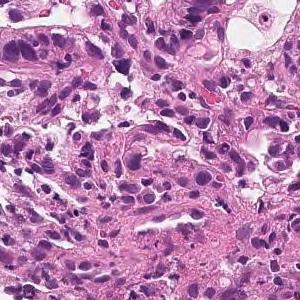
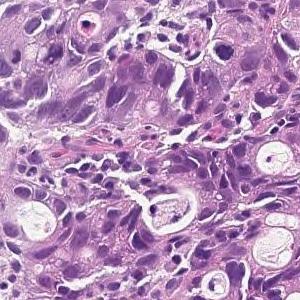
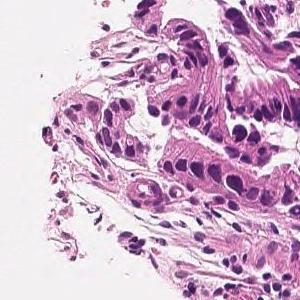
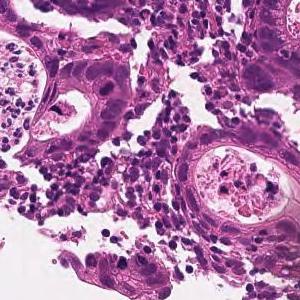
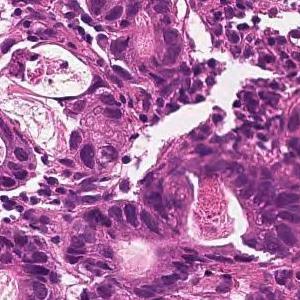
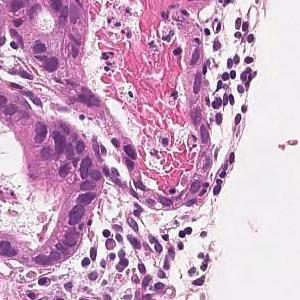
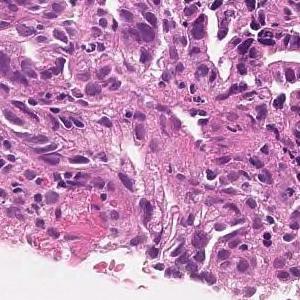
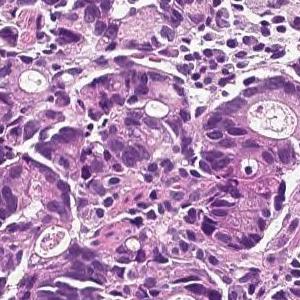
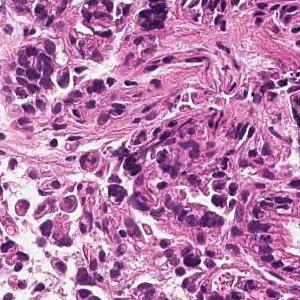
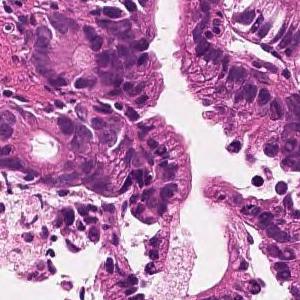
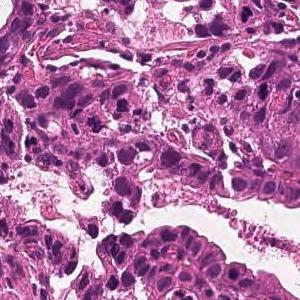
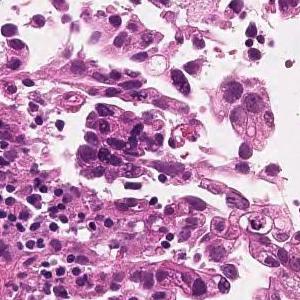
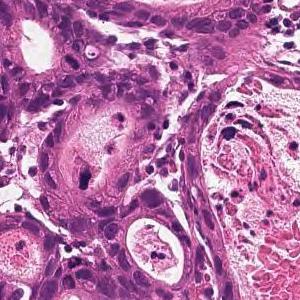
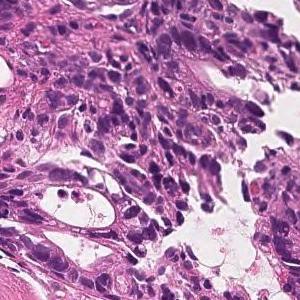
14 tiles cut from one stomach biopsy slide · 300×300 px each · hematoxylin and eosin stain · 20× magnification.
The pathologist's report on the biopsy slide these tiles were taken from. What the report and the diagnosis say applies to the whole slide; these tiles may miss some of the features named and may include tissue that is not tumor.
On the superficial epithelium, tumor tissue is found in which medium-sized irregular gland ducts fuse with each other and infiltrate. moderately differentiated tubular adenocarcinoma
